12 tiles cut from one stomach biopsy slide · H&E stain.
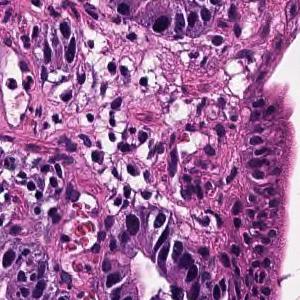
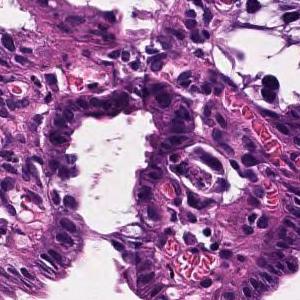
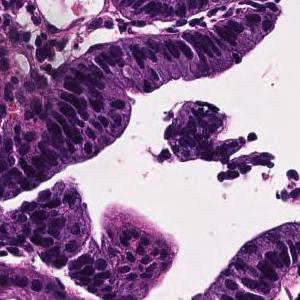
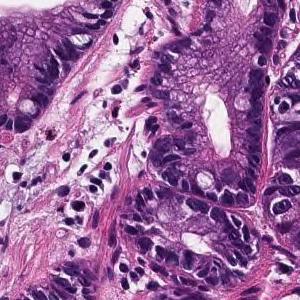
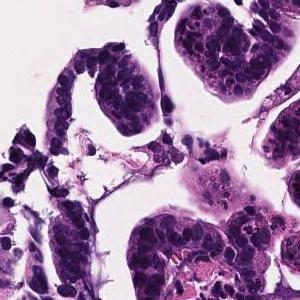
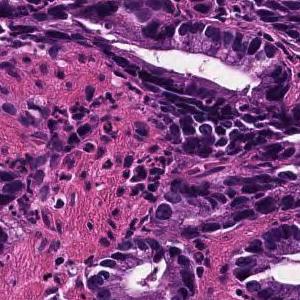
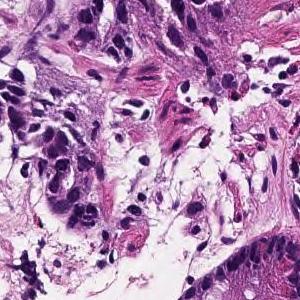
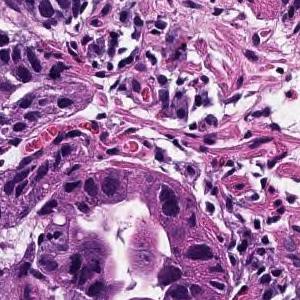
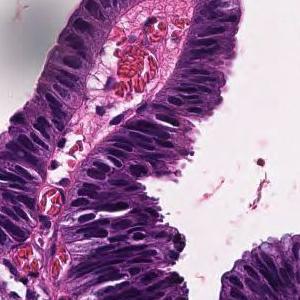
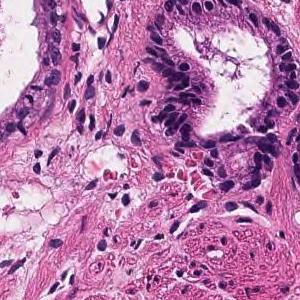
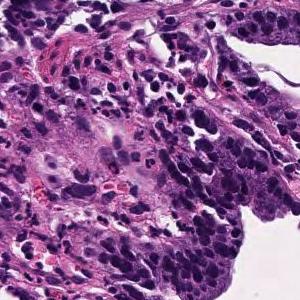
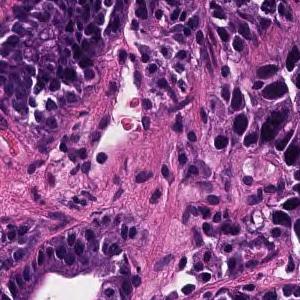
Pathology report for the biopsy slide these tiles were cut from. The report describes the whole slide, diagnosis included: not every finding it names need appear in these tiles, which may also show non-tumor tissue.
Tumor cells are large, highly columnar, large club-shaped nuclei, and are associated with chromatin aggregation. Papillary adenocarcinoma.
